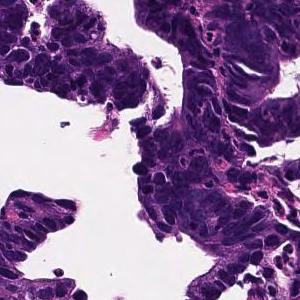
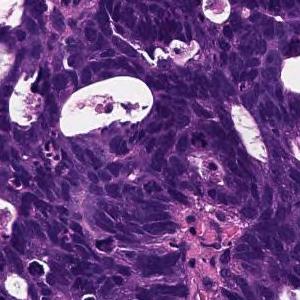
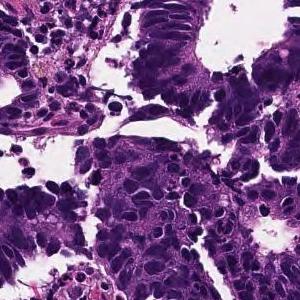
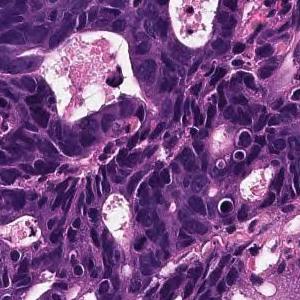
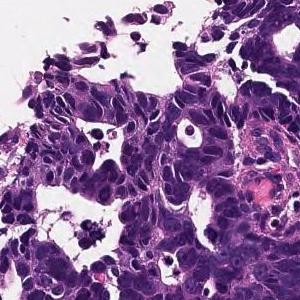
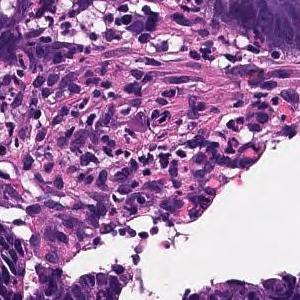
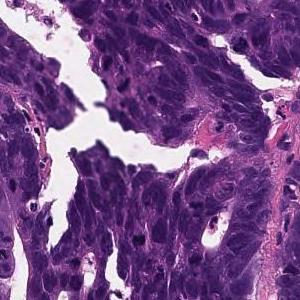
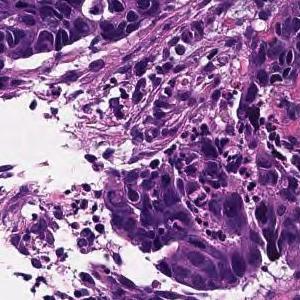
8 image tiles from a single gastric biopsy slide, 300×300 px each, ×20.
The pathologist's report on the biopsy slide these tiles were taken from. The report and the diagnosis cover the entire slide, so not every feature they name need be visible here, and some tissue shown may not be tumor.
In the superficial epithelium, tumor tissue that invades by forming medium-sized to small, irregular ducts is observed. moderately differentiated tubular adenocarcinoma.
